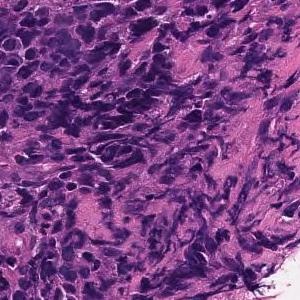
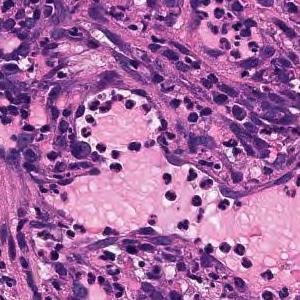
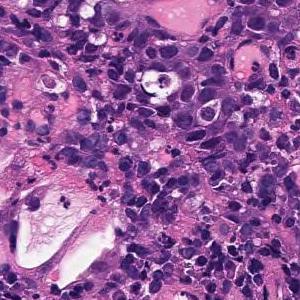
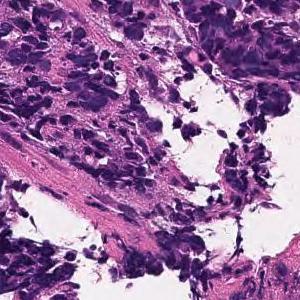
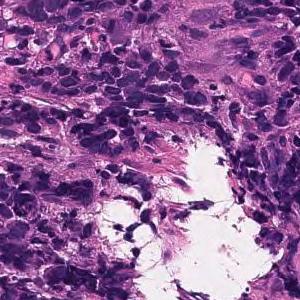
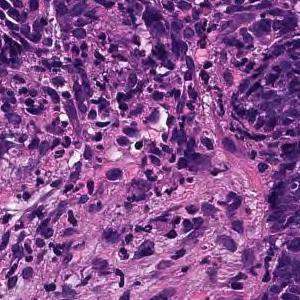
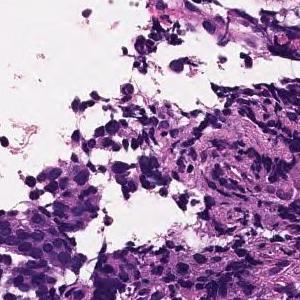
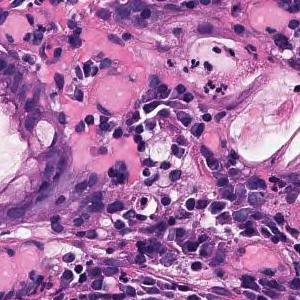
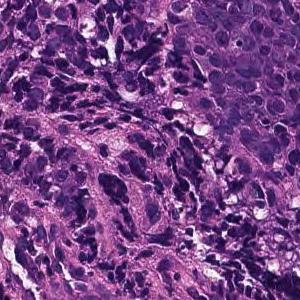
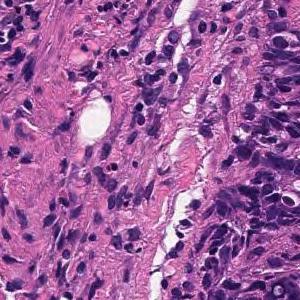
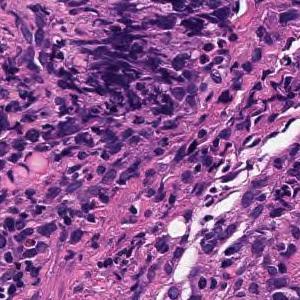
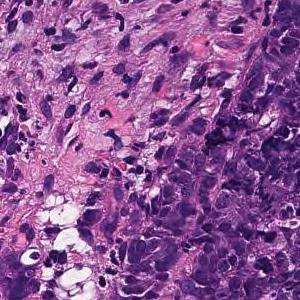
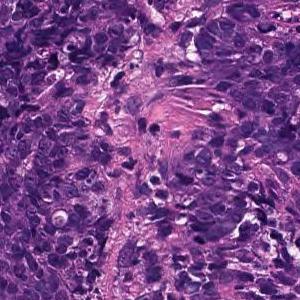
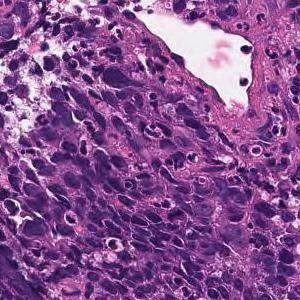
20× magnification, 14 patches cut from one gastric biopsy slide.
Pathology report for the biopsy slide these tiles were cut from. The report and the diagnosis cover the entire slide, so not every feature they name need be visible here, and some tissue shown may not be tumor.
Large sheet-like or diffusely infiltrating tumor tissue is found in the superficial epithelium. Poorly differentiated adenocarcinoma, solid-type
Histological subtype: Poorly differentiated adenocarcinoma, solid type. This name comes from the Japanese Classification of Gastric Carcinoma; the WHO 2019 classification calls it tubular adenocarcinoma, poorly differentiated.
